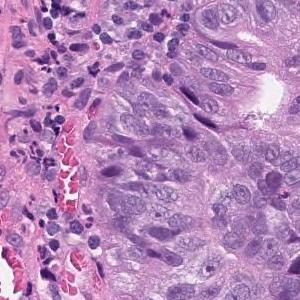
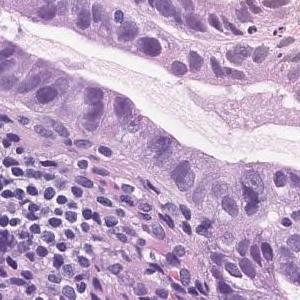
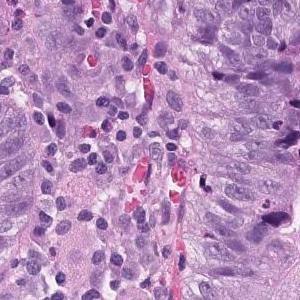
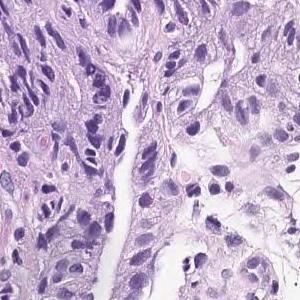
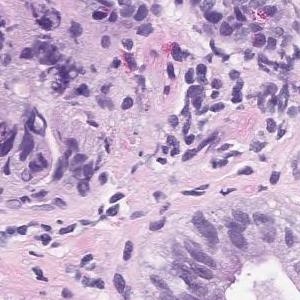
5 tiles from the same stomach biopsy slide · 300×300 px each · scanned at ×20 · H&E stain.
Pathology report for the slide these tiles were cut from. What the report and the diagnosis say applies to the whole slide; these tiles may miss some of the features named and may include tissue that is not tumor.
On the superficial epithelium, tumor tissue consisting of medium to small irregular tubules partially fused and proliferated is observed. moderately differentiated tubular adenocarcinoma
